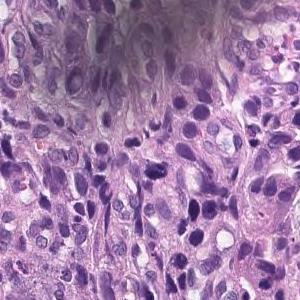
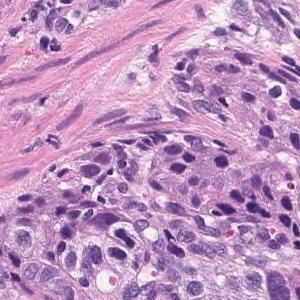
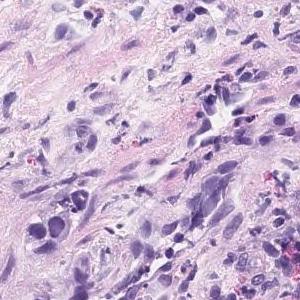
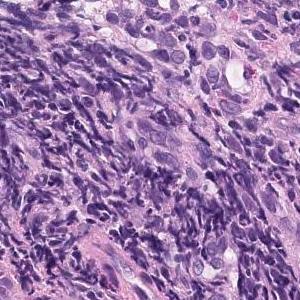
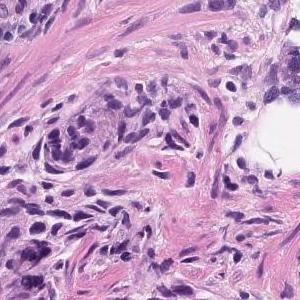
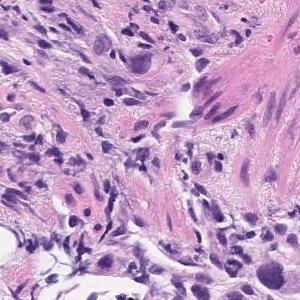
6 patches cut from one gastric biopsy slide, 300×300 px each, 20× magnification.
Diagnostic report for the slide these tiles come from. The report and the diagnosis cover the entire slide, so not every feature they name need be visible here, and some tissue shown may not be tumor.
Group 5, Moderately differentiated adenocarcinoma
Tumor subtype: moderately differentiated tubular adenocarcinoma.
